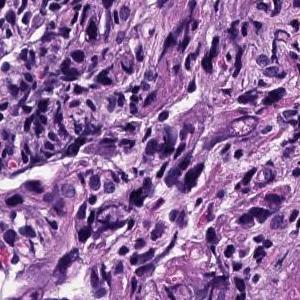
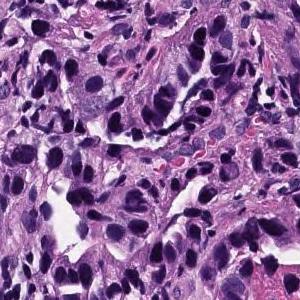
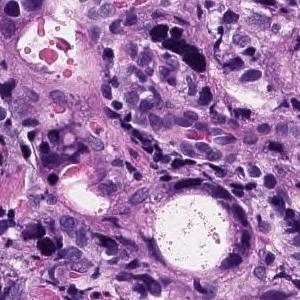
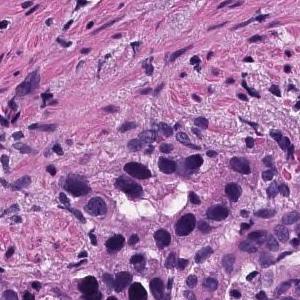
H&E, ×20, 4 image tiles from a single gastric biopsy slide, 300 × 300 pixels each.
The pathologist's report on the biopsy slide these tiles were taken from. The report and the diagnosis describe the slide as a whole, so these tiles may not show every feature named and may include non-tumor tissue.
In the epithelium, tumor tissue in which medium to small irregular gland ducts fuse with each other and infiltrate the submucosa. moderately differentiated tubular adenocarcinoma
